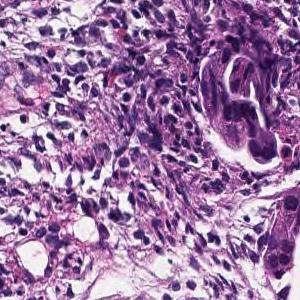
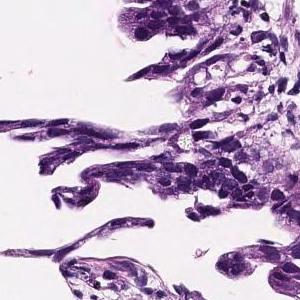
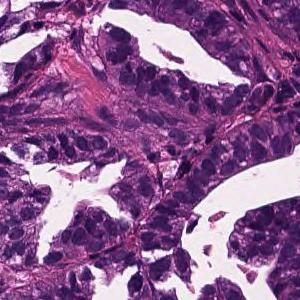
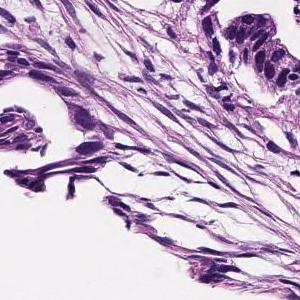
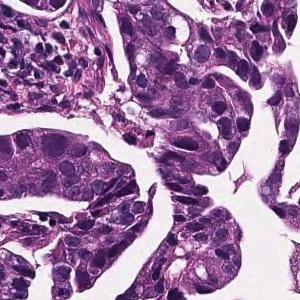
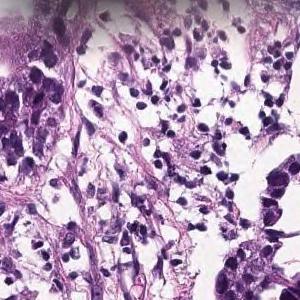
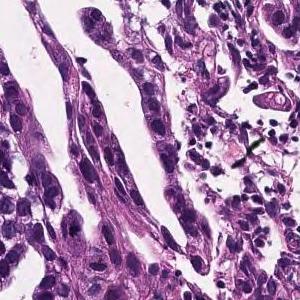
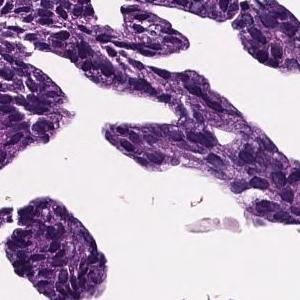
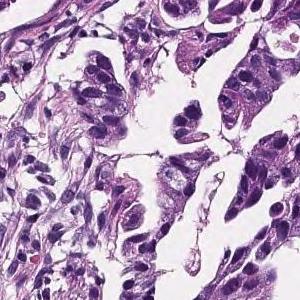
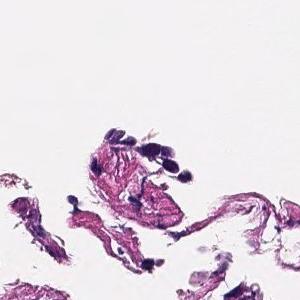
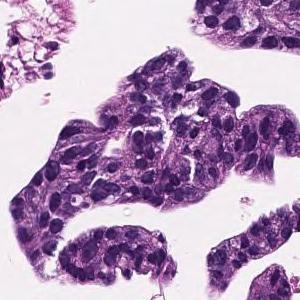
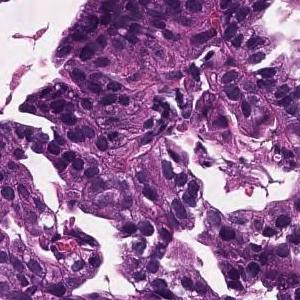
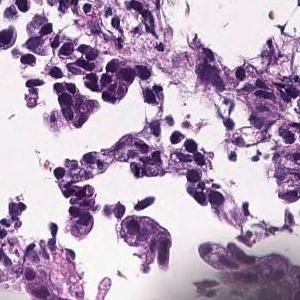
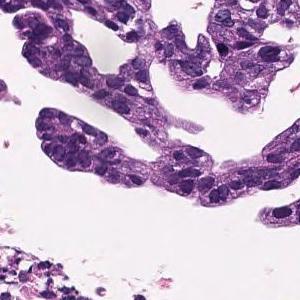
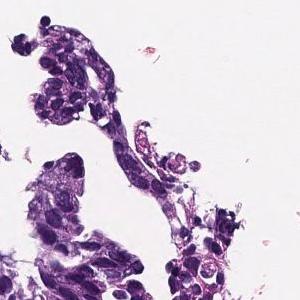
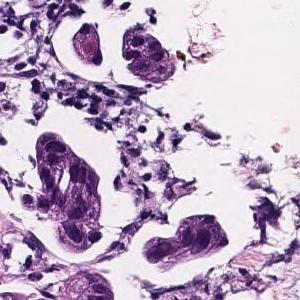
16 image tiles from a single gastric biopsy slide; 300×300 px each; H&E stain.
The pathologist's report on the biopsy slide these tiles were taken from. What the report and the diagnosis say applies to the whole slide; these tiles may miss some of the features named and may include tissue that is not tumor.
In the lamina propria, tumor tissue that invades by forming medium-sized to small, irregular glandular ducts is observed. moderately differentiated tubular adenocarcinoma
